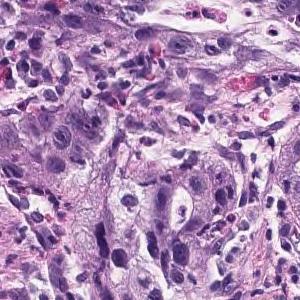
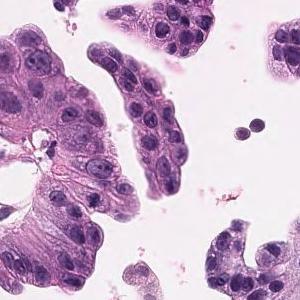
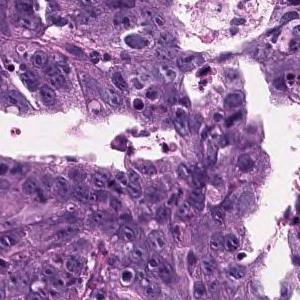
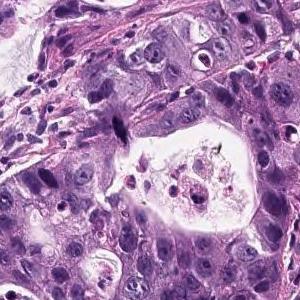
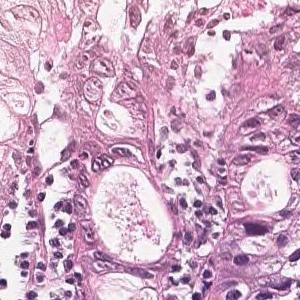
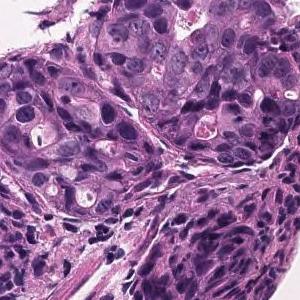
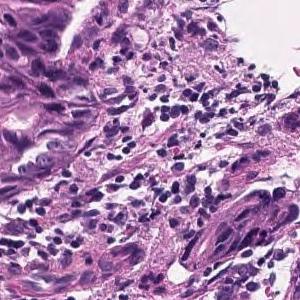
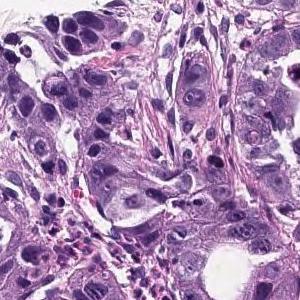
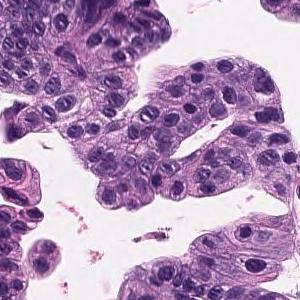
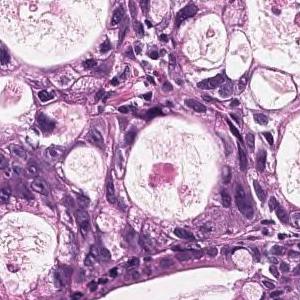
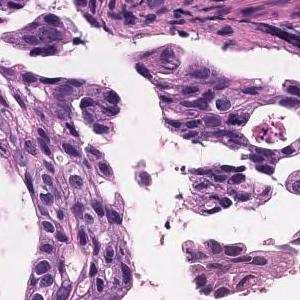
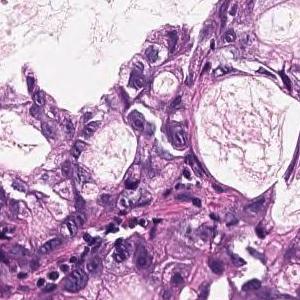
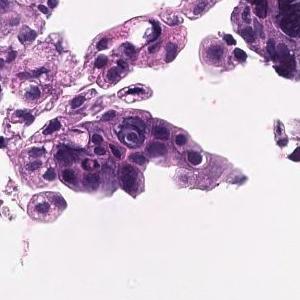
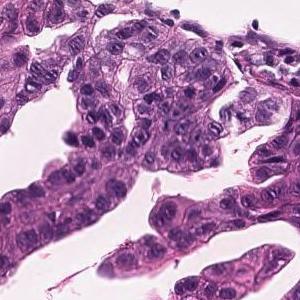
H&E · 14 patches cut from one gastric biopsy slide.
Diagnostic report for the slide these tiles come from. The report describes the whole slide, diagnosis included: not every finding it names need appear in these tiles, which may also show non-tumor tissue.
Tumor cells are large, highly columnar, large club-shaped nuclei, and are associated with chromatin aggregation. Papillary adenocarcinoma.
